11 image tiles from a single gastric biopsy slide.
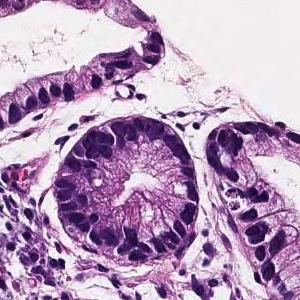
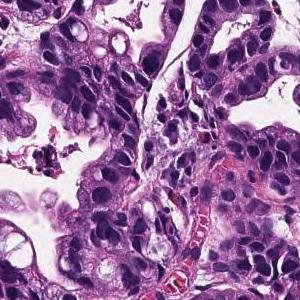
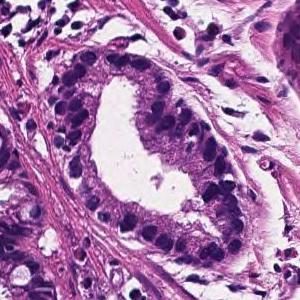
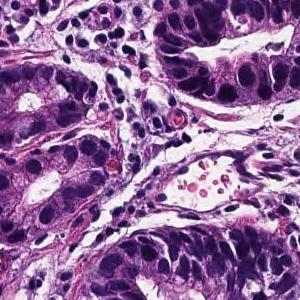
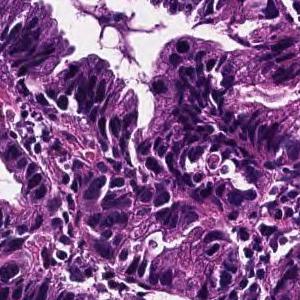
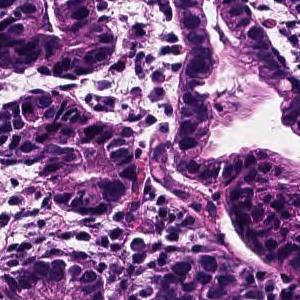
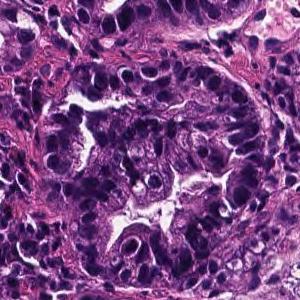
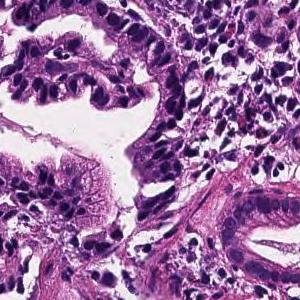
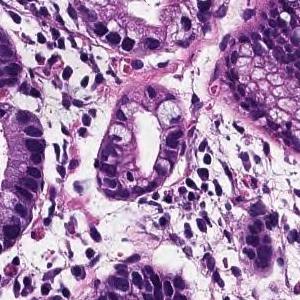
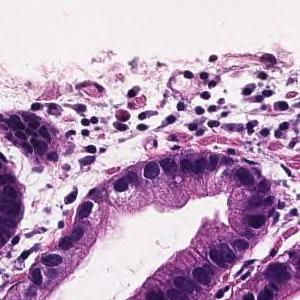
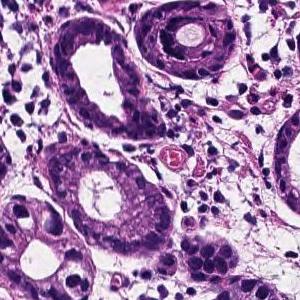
Report on the slide these tiles come from. What the report and the diagnosis say applies to the whole slide; these tiles may miss some of the features named and may include tissue that is not tumor.
Tumor cells are large, highly columnar, large club-shaped nuclei, and are associated with chromatin aggregation. Papillary adenocarcinoma.
